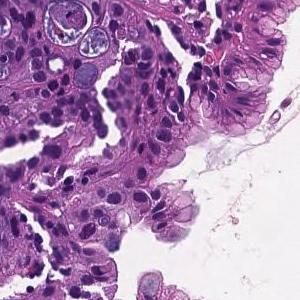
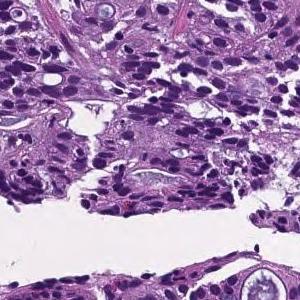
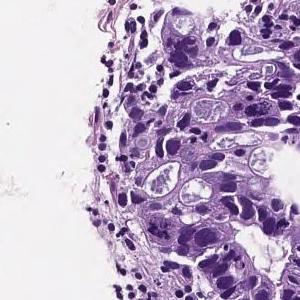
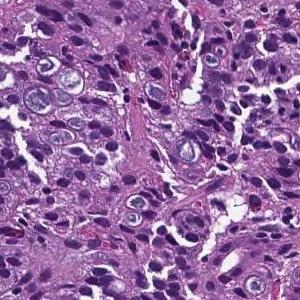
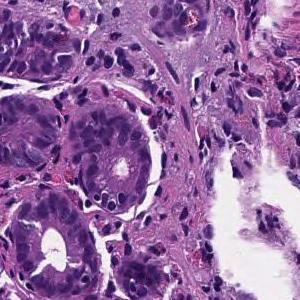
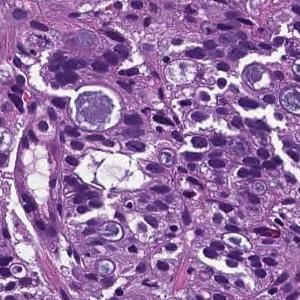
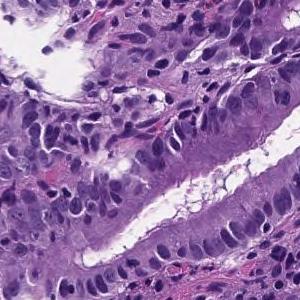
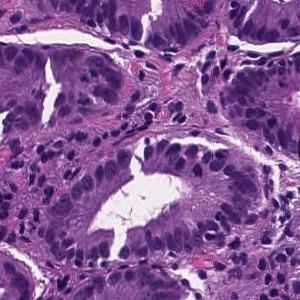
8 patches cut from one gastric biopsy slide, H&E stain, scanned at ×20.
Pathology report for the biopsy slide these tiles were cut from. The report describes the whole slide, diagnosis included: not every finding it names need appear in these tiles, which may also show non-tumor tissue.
In the superficial epithelium, tumor tissue that invades by forming medium-sized to small, irregular ducts is observed. moderately differentiated tubular adenocarcinoma.
